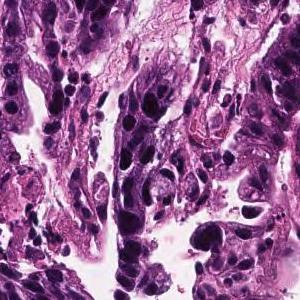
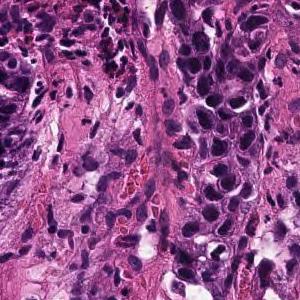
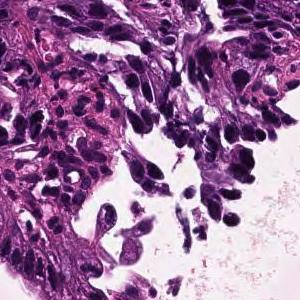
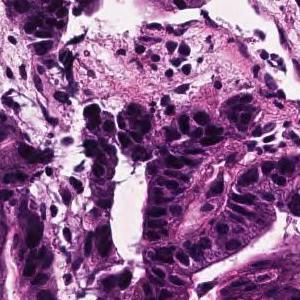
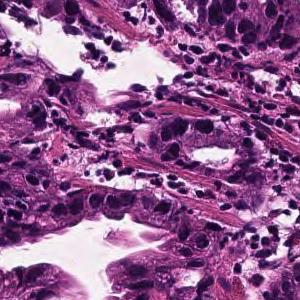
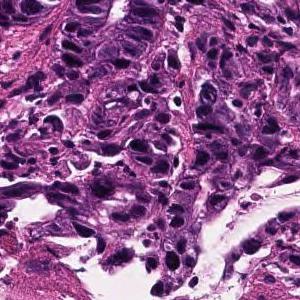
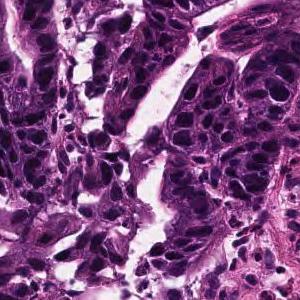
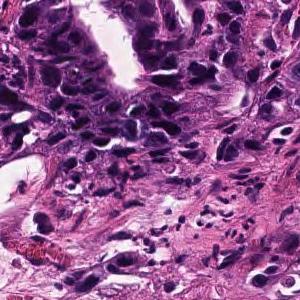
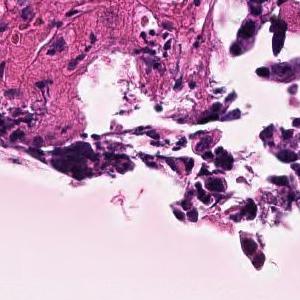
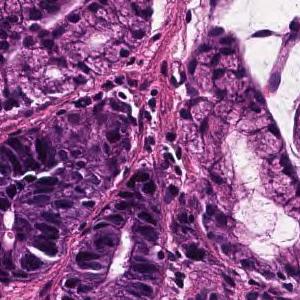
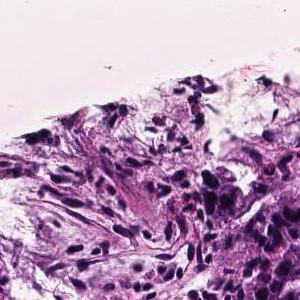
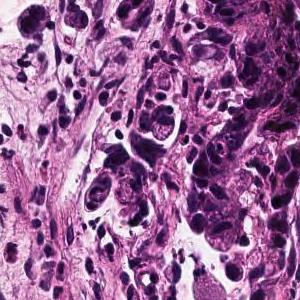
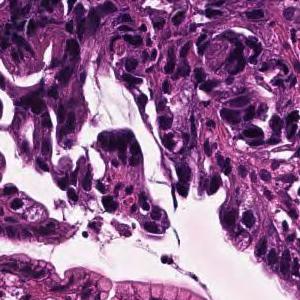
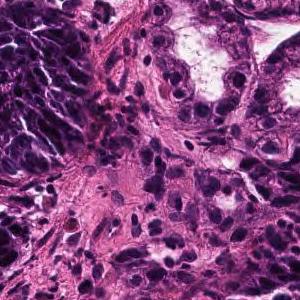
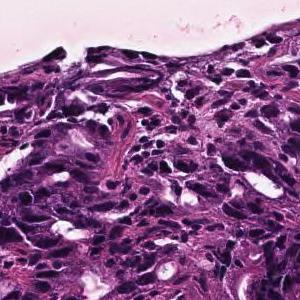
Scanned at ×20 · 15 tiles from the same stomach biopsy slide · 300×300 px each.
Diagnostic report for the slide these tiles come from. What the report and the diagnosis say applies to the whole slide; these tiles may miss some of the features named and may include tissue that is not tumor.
In the superficial epithelium, tumor tissue that invades by forming medium-sized to small, irregular ducts is observed. moderately differentiated tubular adenocarcinoma.
